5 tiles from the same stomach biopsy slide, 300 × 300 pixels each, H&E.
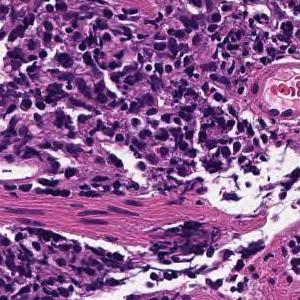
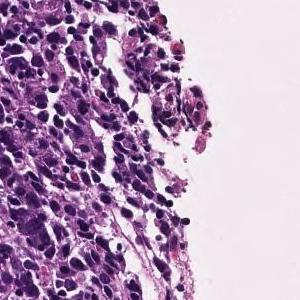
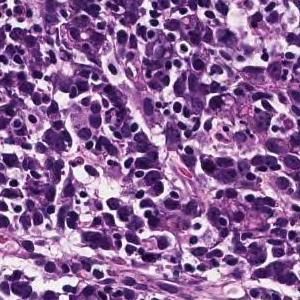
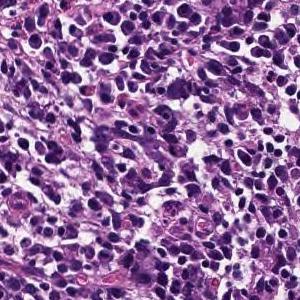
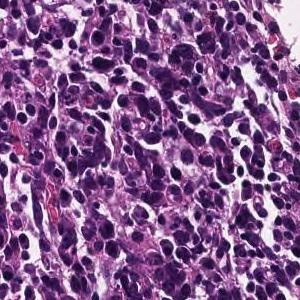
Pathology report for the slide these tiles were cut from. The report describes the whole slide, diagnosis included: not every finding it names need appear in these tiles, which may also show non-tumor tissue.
Tumor tissue consisting of cord-like or small, irregular glandular ducts fused and infiltrated is observed in the superficial epithelium. Poorly differentiated adenocarcinoma, non-solid type
The term "non-solid type" comes from the Japanese Classification of Gastric Carcinoma.
